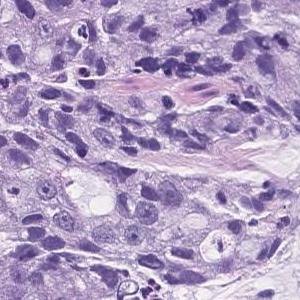
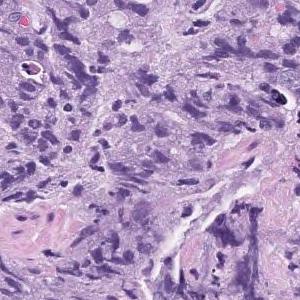
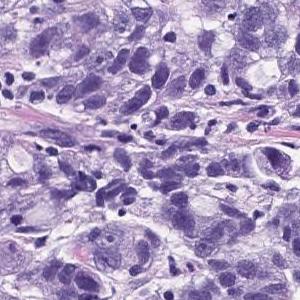
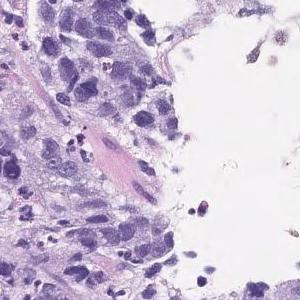
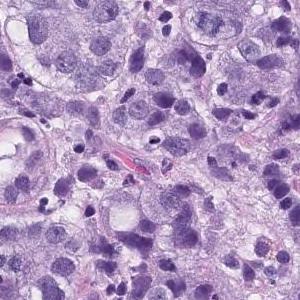
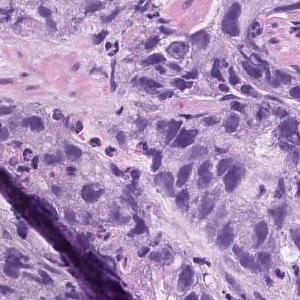
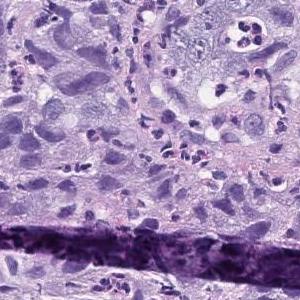
Hematoxylin and eosin stain; 7 image tiles from a single gastric biopsy slide; 300×300 px each.
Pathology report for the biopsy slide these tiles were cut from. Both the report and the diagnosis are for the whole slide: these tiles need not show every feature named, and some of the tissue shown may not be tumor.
Atypical l cells with atypical nuclei forming solid vesicles or small irregular atypical ducts that proliferate in a complex manner. poorly differentiated adenocarcinoma, solid type, moderately differentiated tubular adenocarcinoma
The term "solid type" comes from the Japanese Classification of Gastric Carcinoma; the WHO 2019 equivalent is tubular adenocarcinoma, poorly differentiated.
